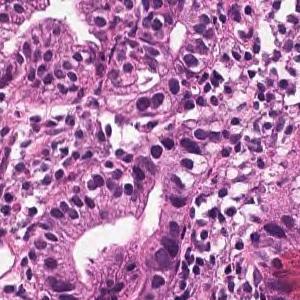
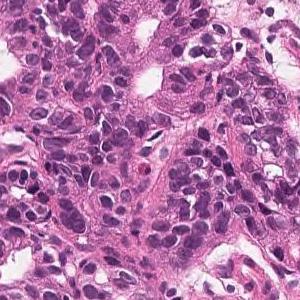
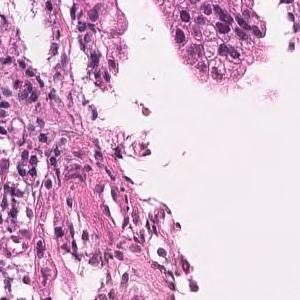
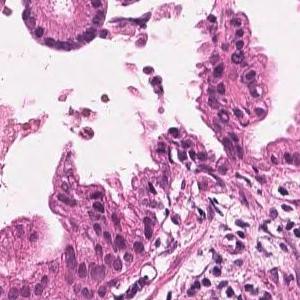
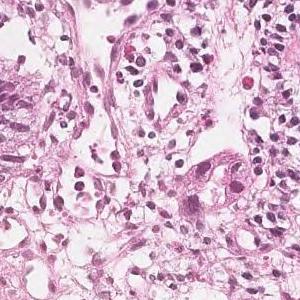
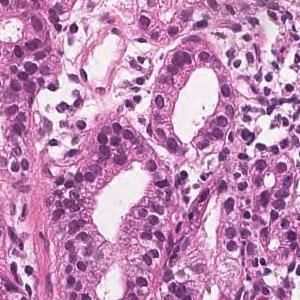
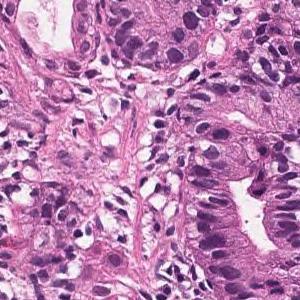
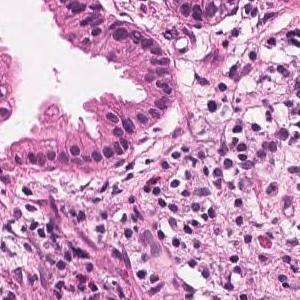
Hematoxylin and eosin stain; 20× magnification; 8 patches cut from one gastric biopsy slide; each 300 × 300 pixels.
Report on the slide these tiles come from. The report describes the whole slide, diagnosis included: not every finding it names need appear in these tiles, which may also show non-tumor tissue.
Tumor tissue consisting of medium-sized and irregular ducts is observed infiltrating in the superficial epithelium. Tumor cells are highly columnar, with nuclei aligned basolaterally and polarized. Well differentiated tubular adenocarcinoma.
